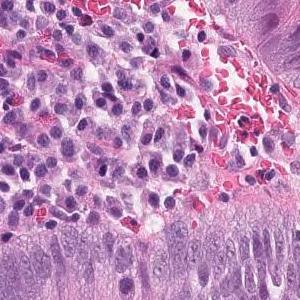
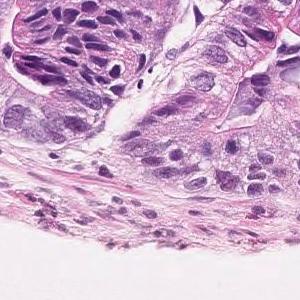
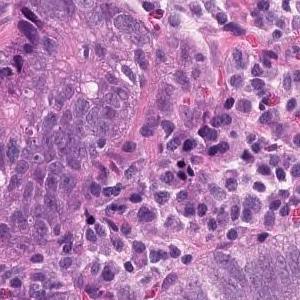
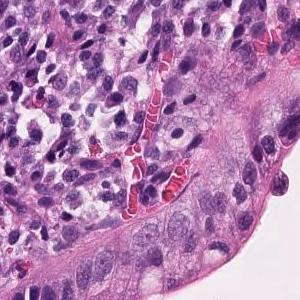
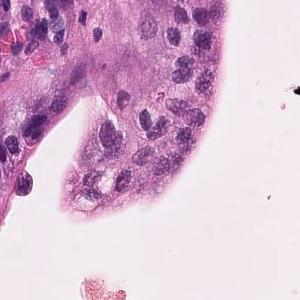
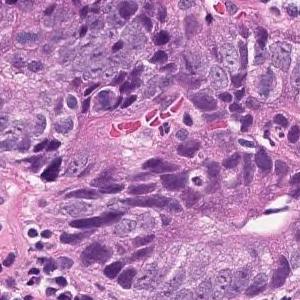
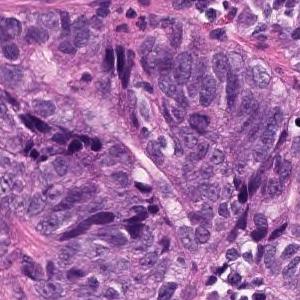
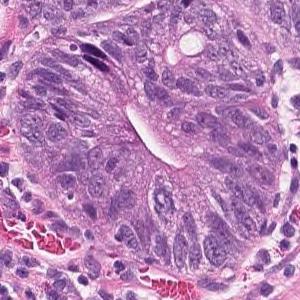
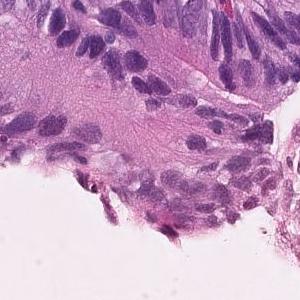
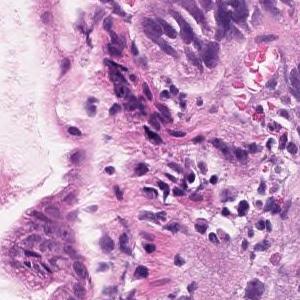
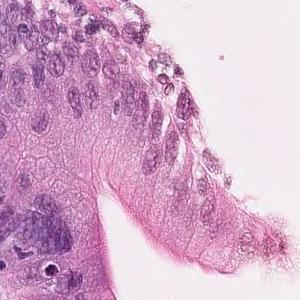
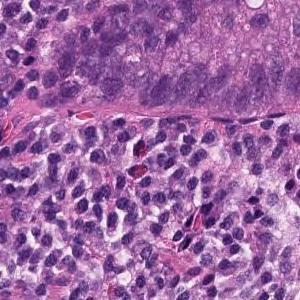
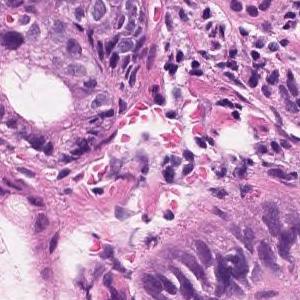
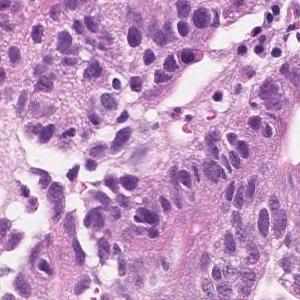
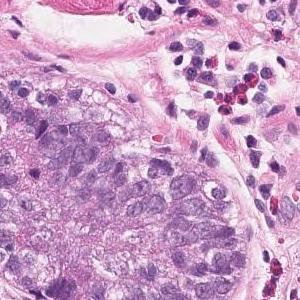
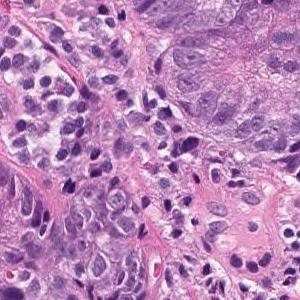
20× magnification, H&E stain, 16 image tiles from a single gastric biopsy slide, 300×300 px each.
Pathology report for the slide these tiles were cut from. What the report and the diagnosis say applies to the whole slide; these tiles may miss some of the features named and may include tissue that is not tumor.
Tumor cells are large, highly columnar, large club-shaped nuclei, and are associated with chromatin aggregation. Papillary adenocarcinoma.
